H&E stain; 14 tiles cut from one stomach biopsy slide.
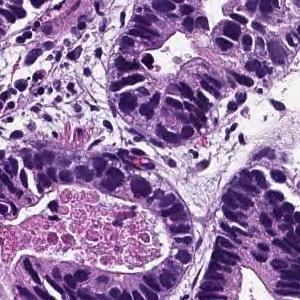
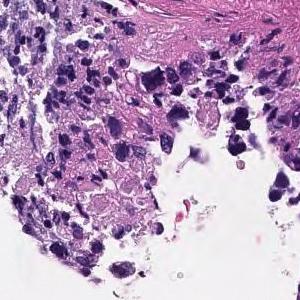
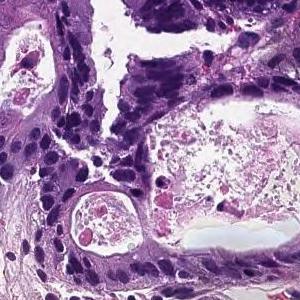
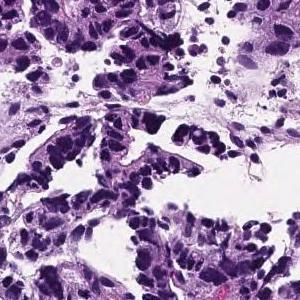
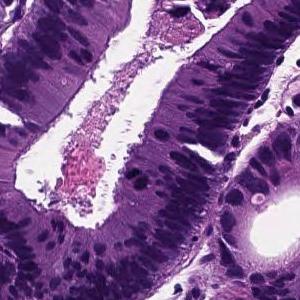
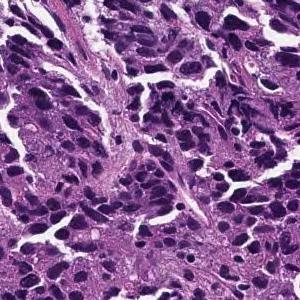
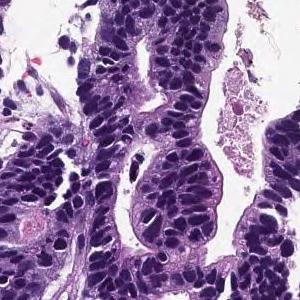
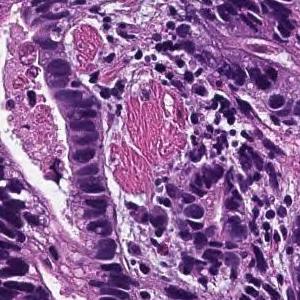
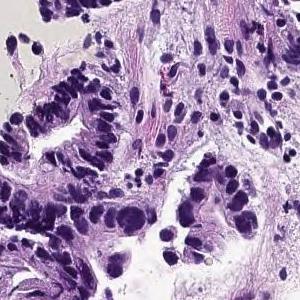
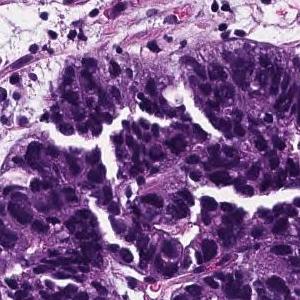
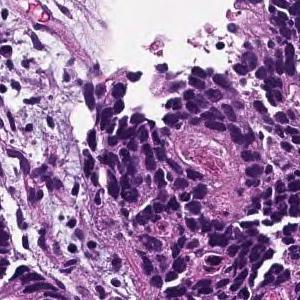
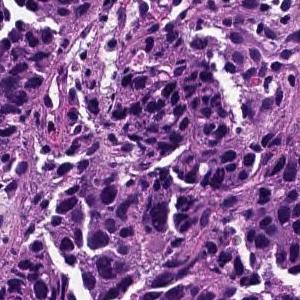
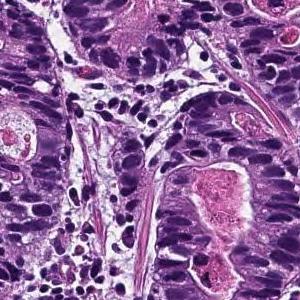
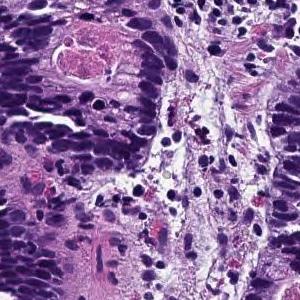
Pathology report for the biopsy slide these tiles were cut from. The report describes the whole slide, diagnosis included: not every finding it names need appear in these tiles, which may also show non-tumor tissue.
From the superficial epithelium to the muscularis mucosae, tumor tissue consisting of medium-sized and irregular glandular ducts infiltrating is observed. Well differentiated tubular adenocarcinoma
